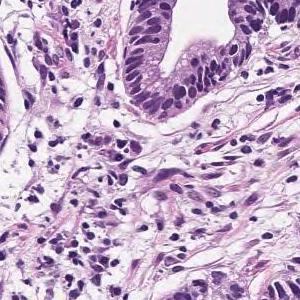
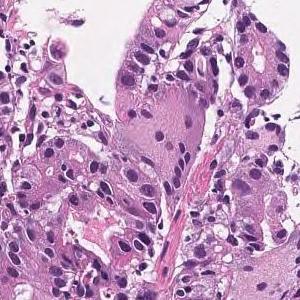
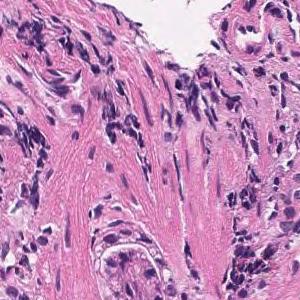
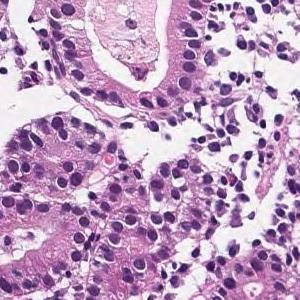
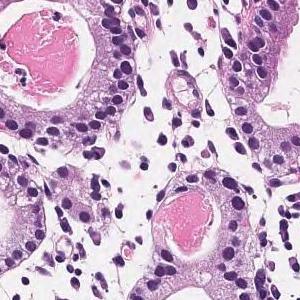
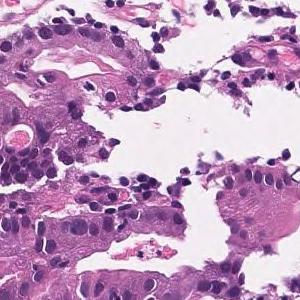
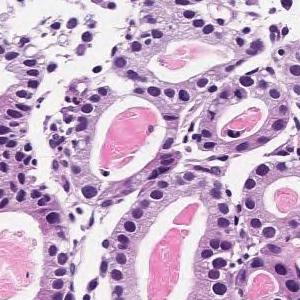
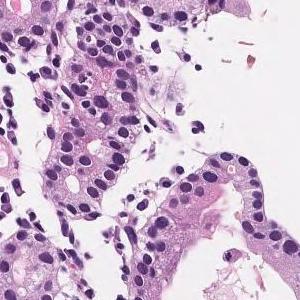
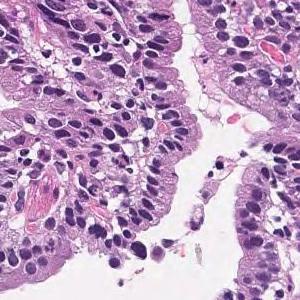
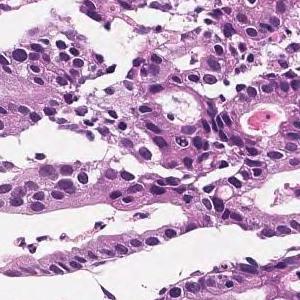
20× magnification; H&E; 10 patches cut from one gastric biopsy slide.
The pathologist's report on the biopsy slide these tiles were taken from. Both the report and the diagnosis are for the whole slide: these tiles need not show every feature named, and some of the tissue shown may not be tumor.
Medium to small, irregular glandular ducts are formed in the superficial epithelium, and in some cases, the glandular ducts are fused to show solid alveolar lesions and infiltrating tumor tissue is observed. Moderately to poorly differentiated adenocarcinoma.
